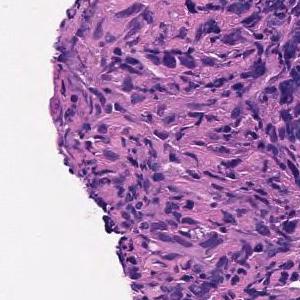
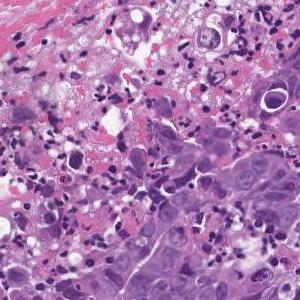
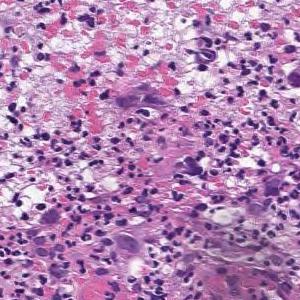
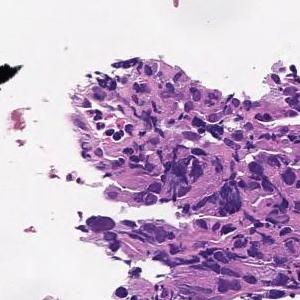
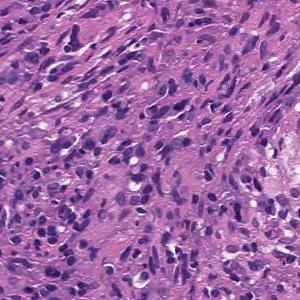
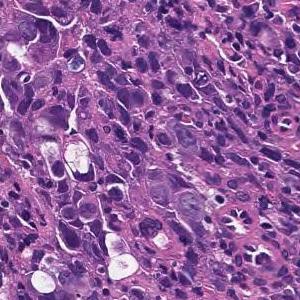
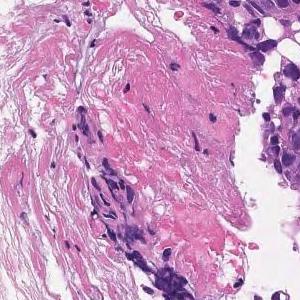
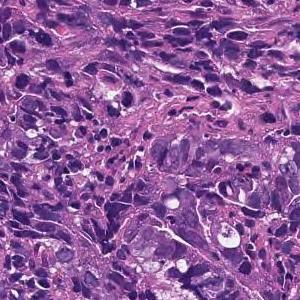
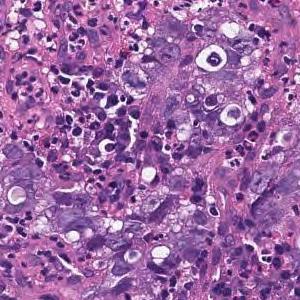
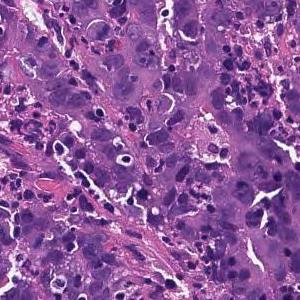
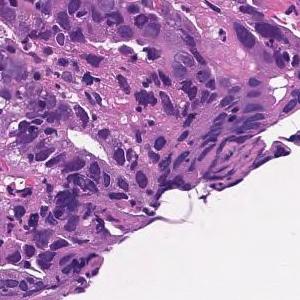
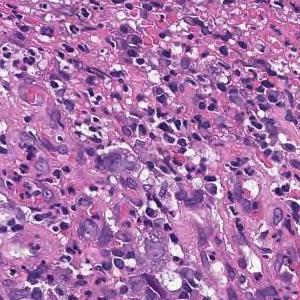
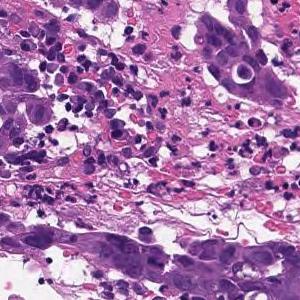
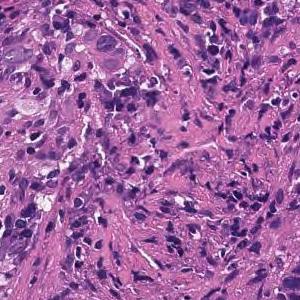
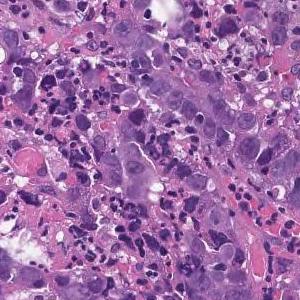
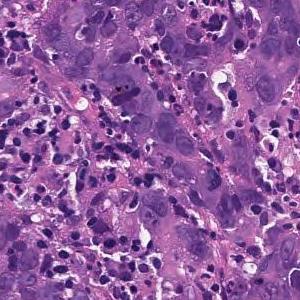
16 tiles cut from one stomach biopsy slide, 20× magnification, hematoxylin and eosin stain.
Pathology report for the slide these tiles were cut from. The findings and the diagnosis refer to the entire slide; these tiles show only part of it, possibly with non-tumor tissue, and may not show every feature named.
Tumor tissue consisting of cord-like or small, irregular glandular ducts fused and infiltrated is observed in the superficial epithelium. Poorly differentiated adenocarcinoma, non-solid type
"Non-solid type" is a category of the Japanese Classification of Gastric Carcinoma.
